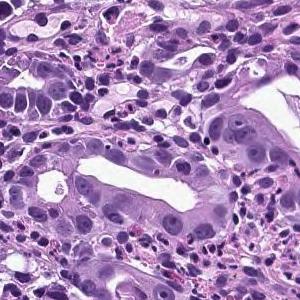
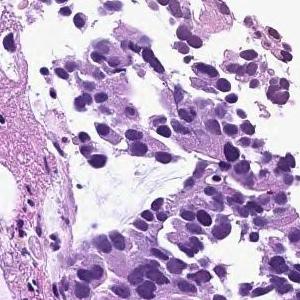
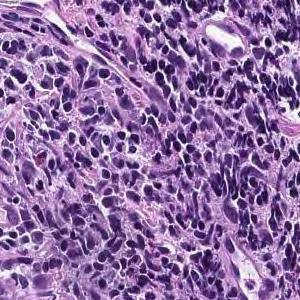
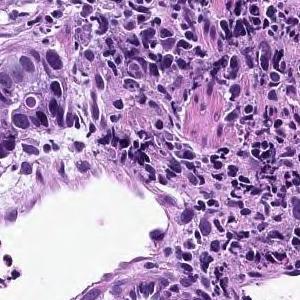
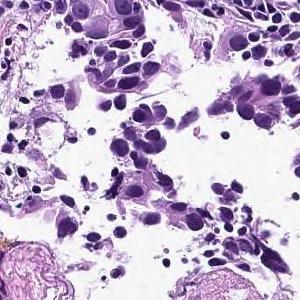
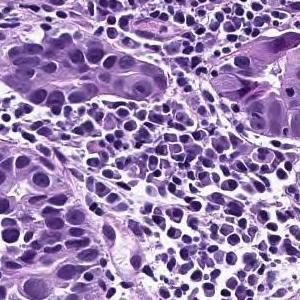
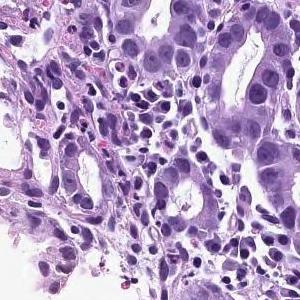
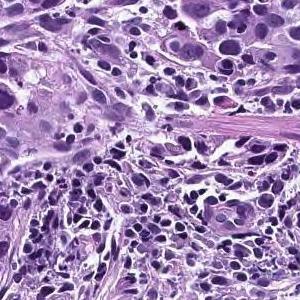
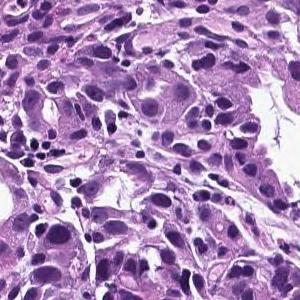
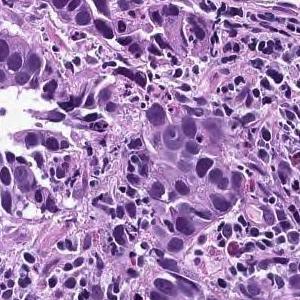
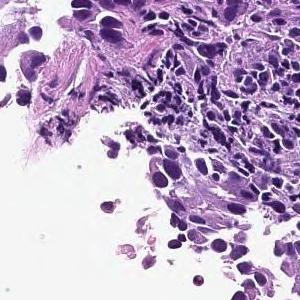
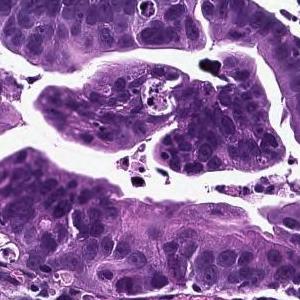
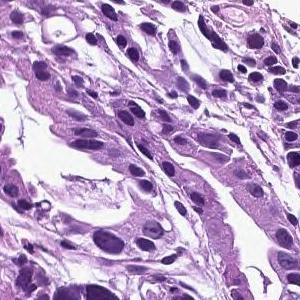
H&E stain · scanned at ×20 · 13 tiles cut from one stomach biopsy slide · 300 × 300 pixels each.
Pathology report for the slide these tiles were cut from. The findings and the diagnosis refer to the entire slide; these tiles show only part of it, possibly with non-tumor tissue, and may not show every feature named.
In the superficial epithelium, tumor tissue that invades by forming medium-sized to small, irregular ducts is observed. moderately differentiated tubular adenocarcinoma.
